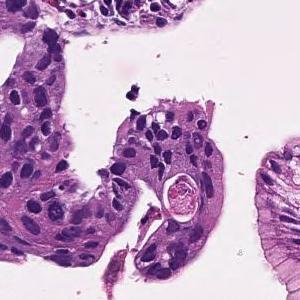
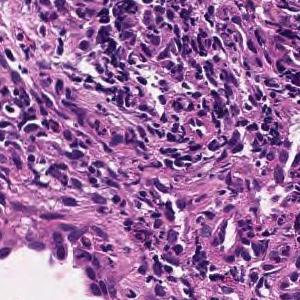
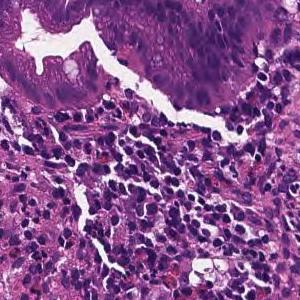
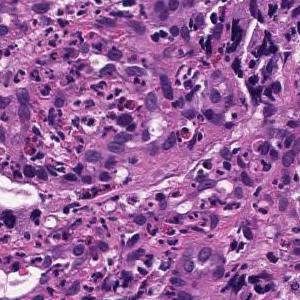
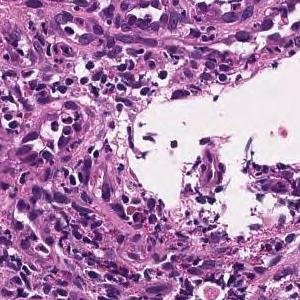
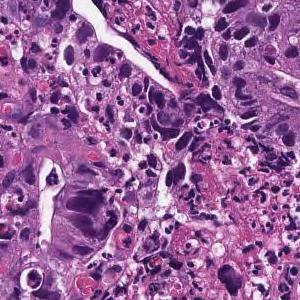
20× magnification, 6 patches cut from one gastric biopsy slide.
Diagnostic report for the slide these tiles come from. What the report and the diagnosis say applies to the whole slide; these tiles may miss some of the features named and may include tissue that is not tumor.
In the superficial epithelium, tumor tissue that invades by forming medium-sized to small, irregular ducts is observed. moderately differentiated tubular adenocarcinoma.
